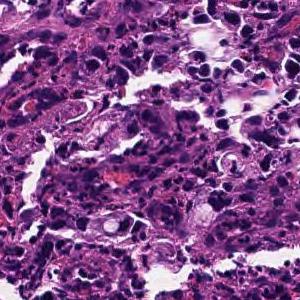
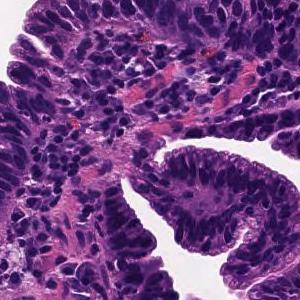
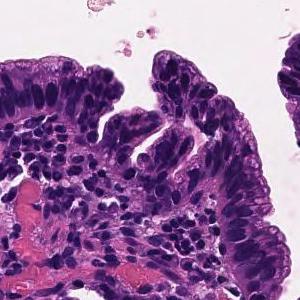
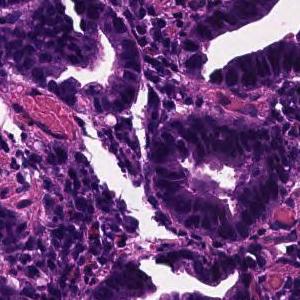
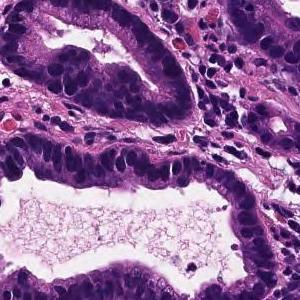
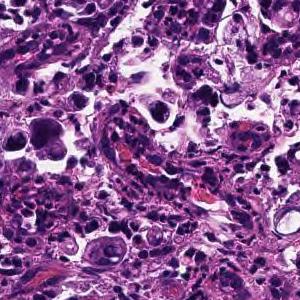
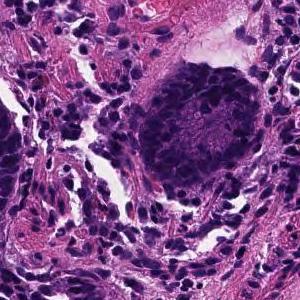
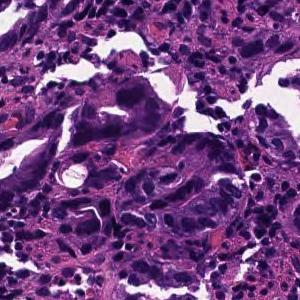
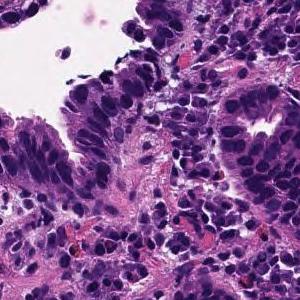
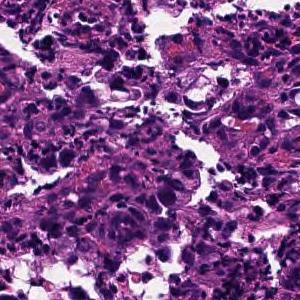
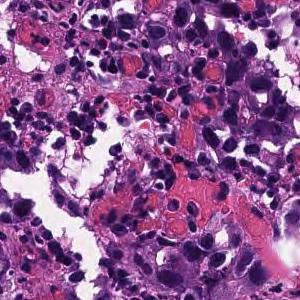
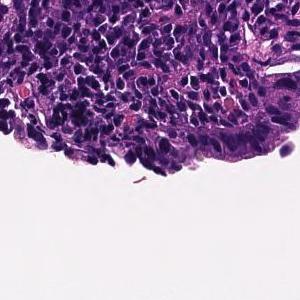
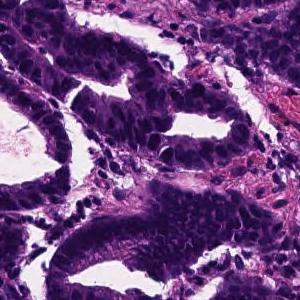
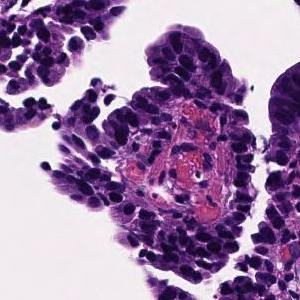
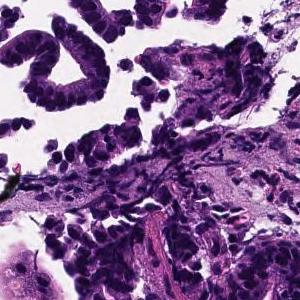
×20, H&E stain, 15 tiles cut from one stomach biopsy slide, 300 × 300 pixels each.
Report on the slide these tiles come from. The findings and the diagnosis refer to the entire slide; these tiles show only part of it, possibly with non-tumor tissue, and may not show every feature named.
On the superficial epithelium, tumor tissue that infiltrates by forming medium-sized papillary or small irregular ducts is observed. Papillary adenocarcinoma
